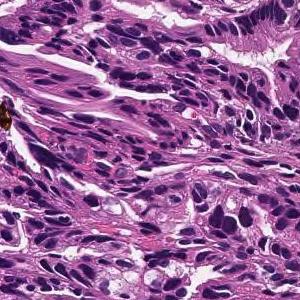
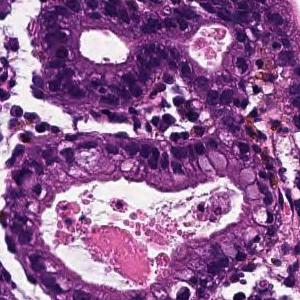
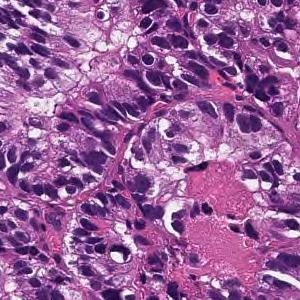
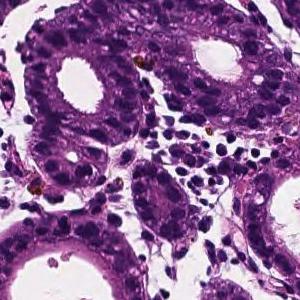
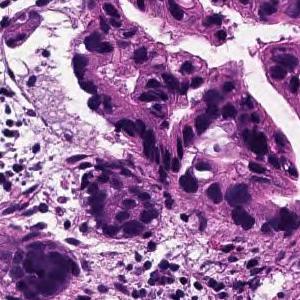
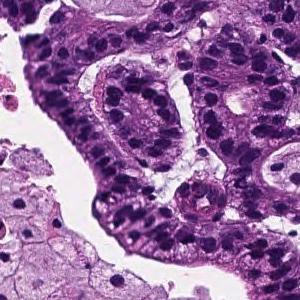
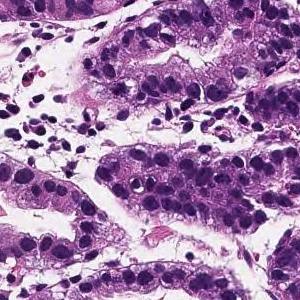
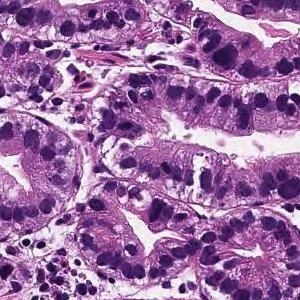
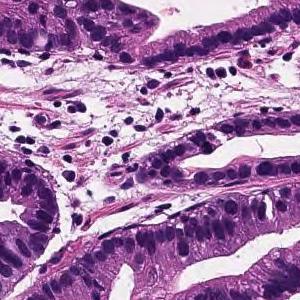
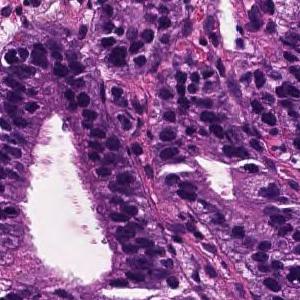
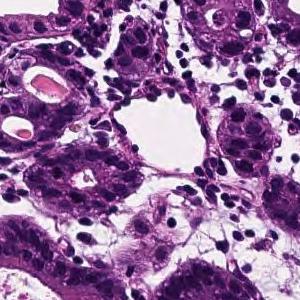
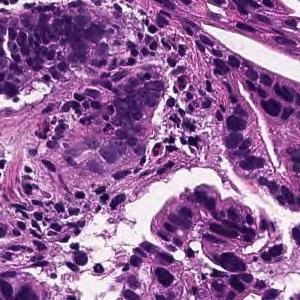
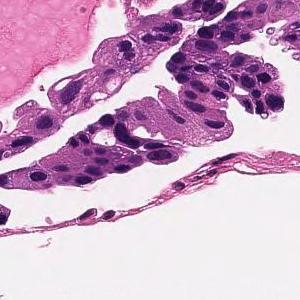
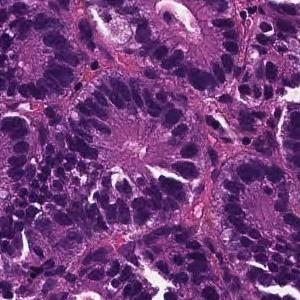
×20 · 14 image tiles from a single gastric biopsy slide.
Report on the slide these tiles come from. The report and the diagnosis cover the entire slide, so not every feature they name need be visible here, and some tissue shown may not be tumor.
From the superficial epithelium to the muscularis mucosae, tumor tissue consisting of medium-sized and irregular glandular ducts infiltrating is observed. Well differentiated tubular adenocarcinoma
